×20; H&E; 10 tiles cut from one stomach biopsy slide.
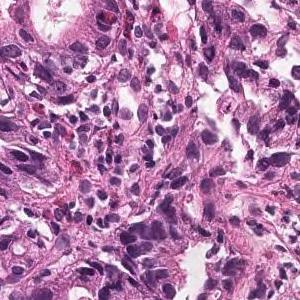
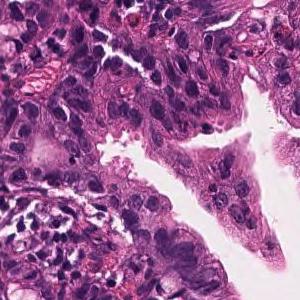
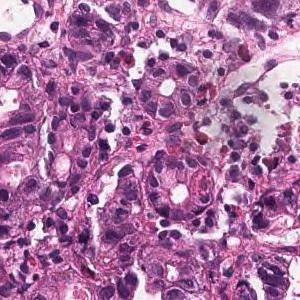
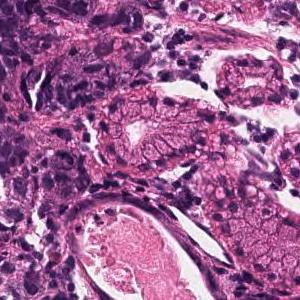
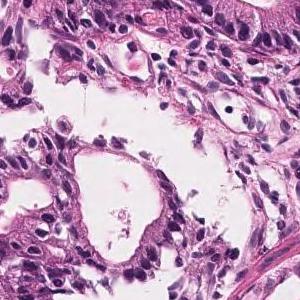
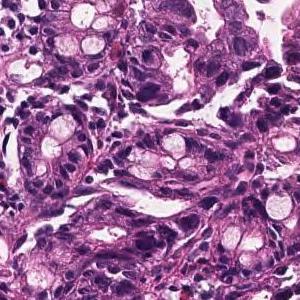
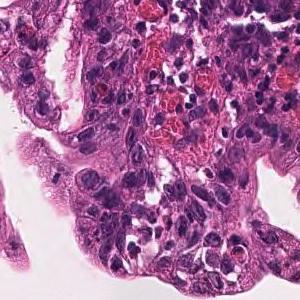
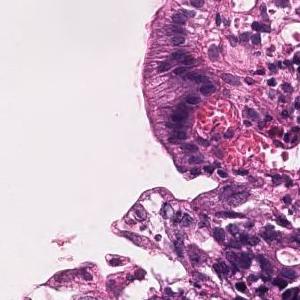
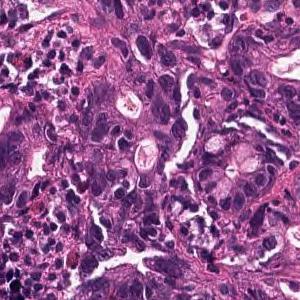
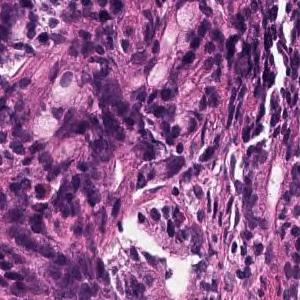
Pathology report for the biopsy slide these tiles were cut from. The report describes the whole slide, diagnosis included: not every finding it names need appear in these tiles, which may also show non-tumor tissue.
On the superficial epithelium, tumor tissue consisting of large, irregular glandular ducts partially fused and infiltrated is observed. Well to moderately differentiated tubular adenocarcinoma (well differentiated tubular adenocarcinoma, moderately differentiated tubular adenocarcinoma)
Classified as well to moderately differentiated tubular adenocarcinoma.
